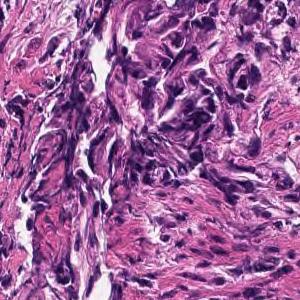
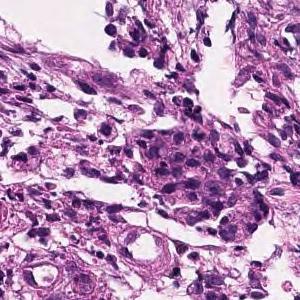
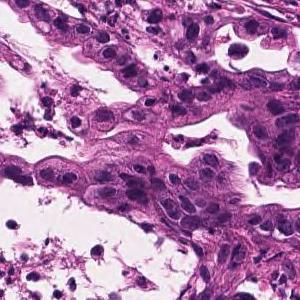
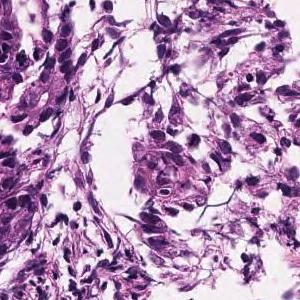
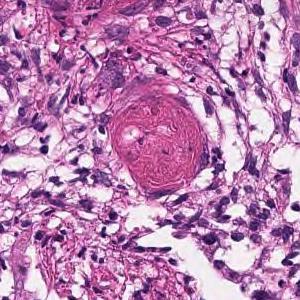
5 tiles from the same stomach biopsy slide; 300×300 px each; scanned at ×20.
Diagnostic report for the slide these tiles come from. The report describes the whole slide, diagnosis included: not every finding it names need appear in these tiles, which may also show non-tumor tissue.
In the superficial epithelium, medium to small, irregular gland ducts are formed, and in some cases, the gland ducts are fused to show solid alveolar lesions and infiltrating tumor tissue is observed. Moderately to poorly differentiated adenocarcinoma.
